Scanned at ×20; 6 tiles from the same stomach biopsy slide; 300 × 300 pixels each.
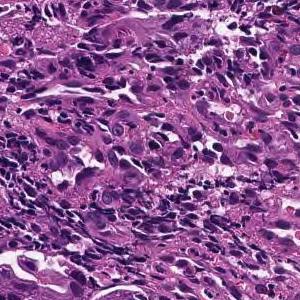
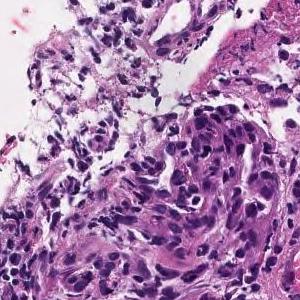
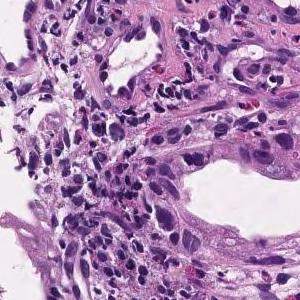
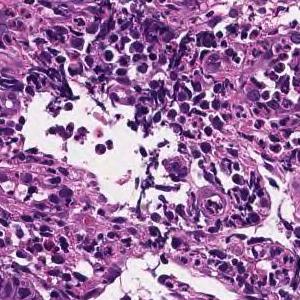
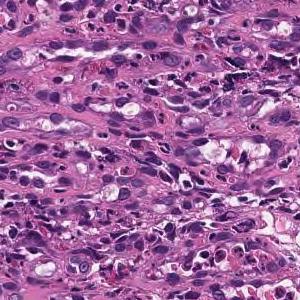
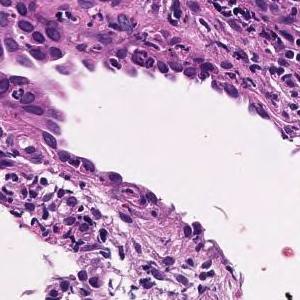
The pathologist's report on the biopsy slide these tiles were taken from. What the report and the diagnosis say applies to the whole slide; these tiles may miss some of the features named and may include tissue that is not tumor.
In the superficial epithelium, tumor tissue that invades by forming medium-sized to small, irregular ducts is observed. moderately differentiated tubular adenocarcinoma.
